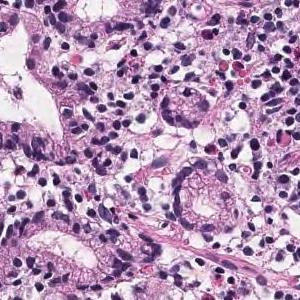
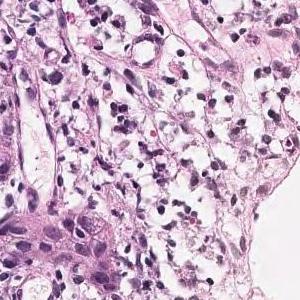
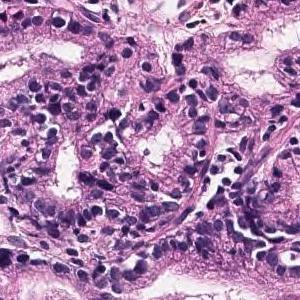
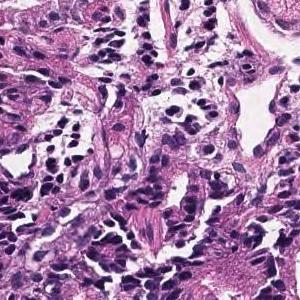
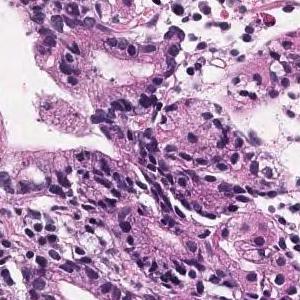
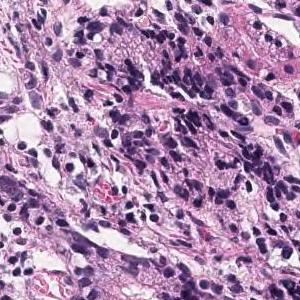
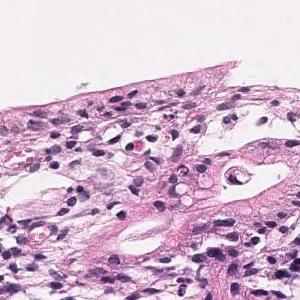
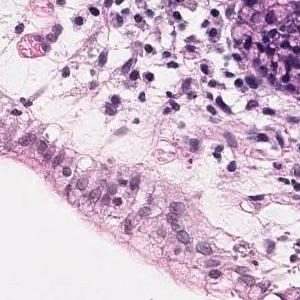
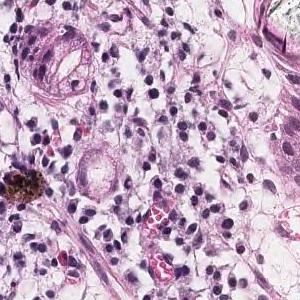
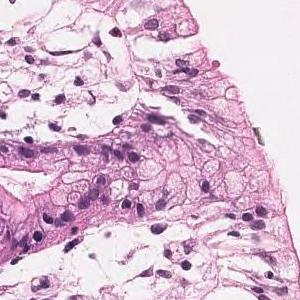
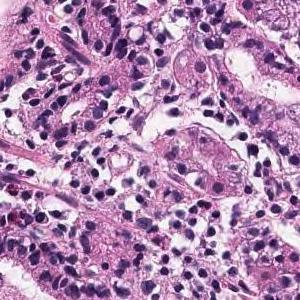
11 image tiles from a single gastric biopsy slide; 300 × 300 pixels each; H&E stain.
Pathology report for the biopsy slide these tiles were cut from. The report and the diagnosis describe the slide as a whole, so these tiles may not show every feature named and may include non-tumor tissue.
Tumor tissue that grows and grows is observed, showing a medium-sized round or irregular duct. moderately differentiated tubular adenocarcinoma
